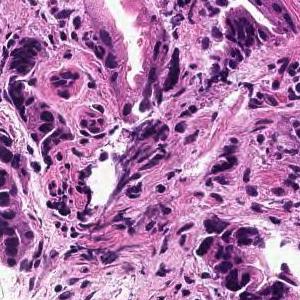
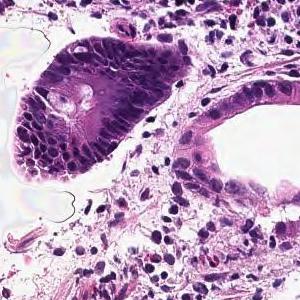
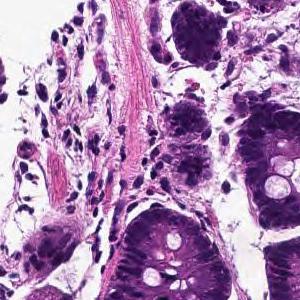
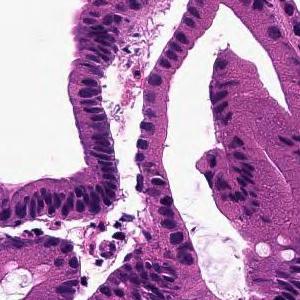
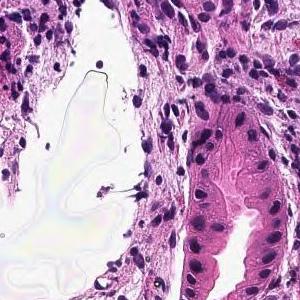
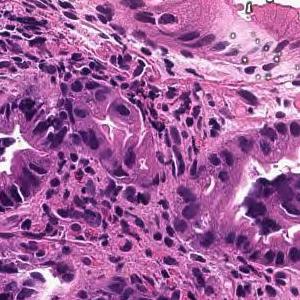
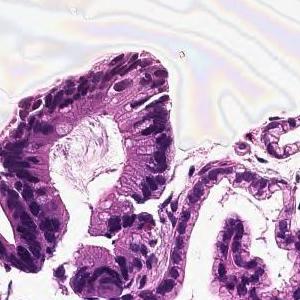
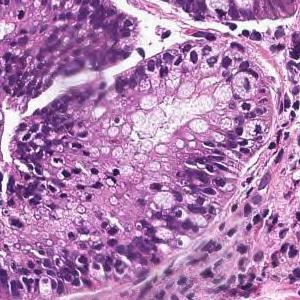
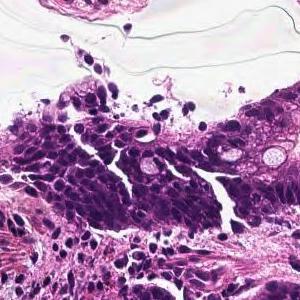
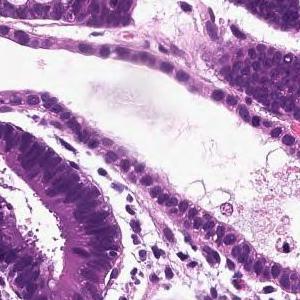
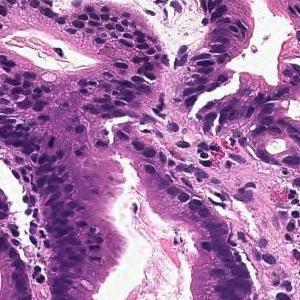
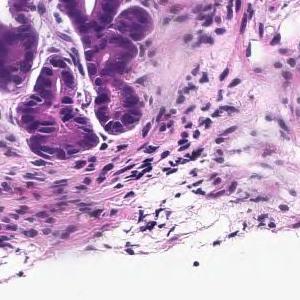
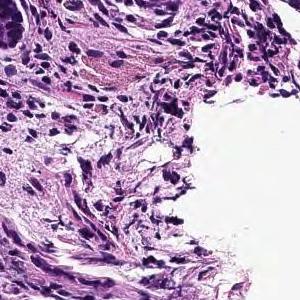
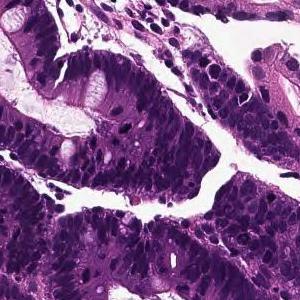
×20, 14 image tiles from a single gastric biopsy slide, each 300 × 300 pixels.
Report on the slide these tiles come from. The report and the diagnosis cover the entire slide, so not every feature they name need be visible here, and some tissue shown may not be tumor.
From the superficial epithelium to the muscularis mucosae, tumor tissue consisting of medium-sized and irregular glandular ducts infiltrating is observed. Well differentiated tubular adenocarcinoma
